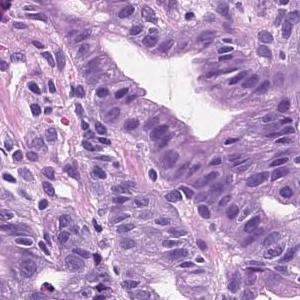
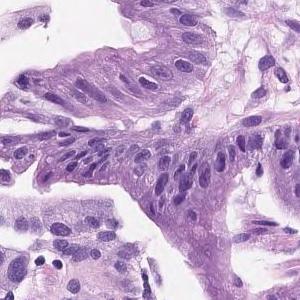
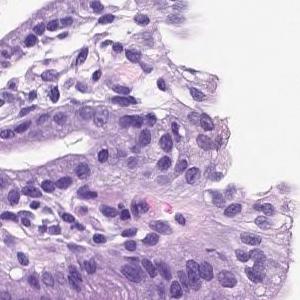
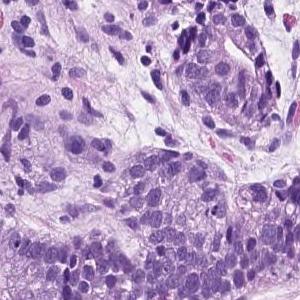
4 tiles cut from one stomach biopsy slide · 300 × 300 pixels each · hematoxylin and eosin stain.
Pathology report for the slide these tiles were cut from. The report and the diagnosis describe the slide as a whole, so these tiles may not show every feature named and may include non-tumor tissue.
Tumor tissue consisting of medium-sized and irregular ducts is observed infiltrating in the superficial epithelium. Tumor cells are highly columnar, with nuclei aligned basolaterally and polarized. Well differentiated tubular adenocarcinoma.
